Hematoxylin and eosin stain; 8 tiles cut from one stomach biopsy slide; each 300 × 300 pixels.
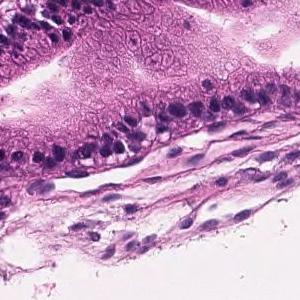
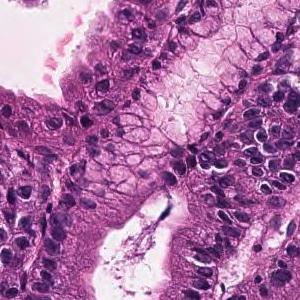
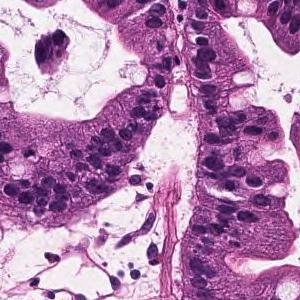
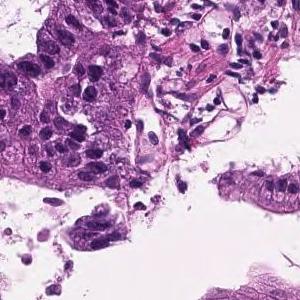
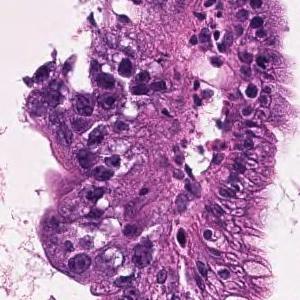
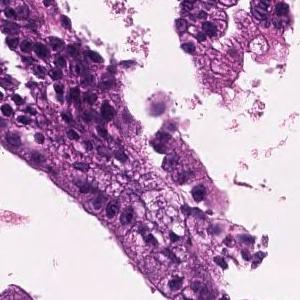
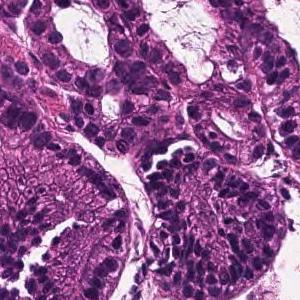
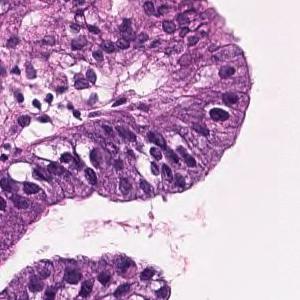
The pathologist's report on the biopsy slide these tiles were taken from. The findings and the diagnosis refer to the entire slide; these tiles show only part of it, possibly with non-tumor tissue, and may not show every feature named.
On the superficial epithelium, tumor tissue that infiltrates by forming medium-sized papillary or small irregular ducts is observed. Papillary adenocarcinoma
